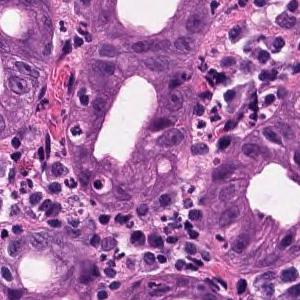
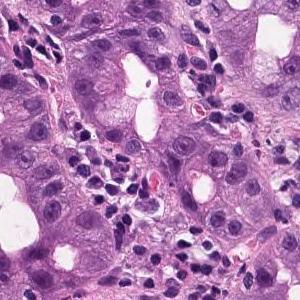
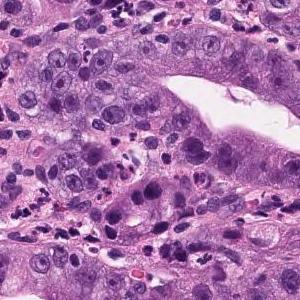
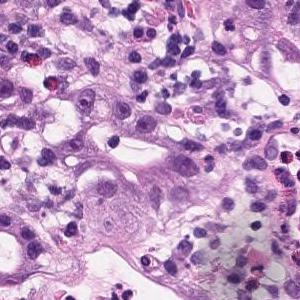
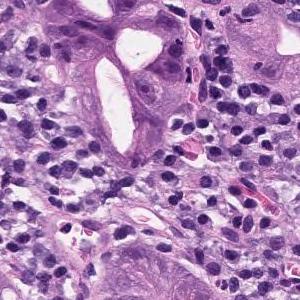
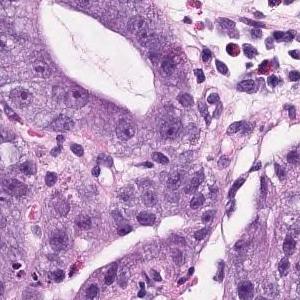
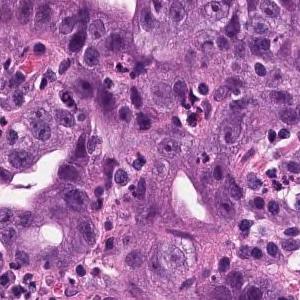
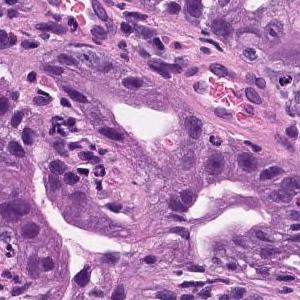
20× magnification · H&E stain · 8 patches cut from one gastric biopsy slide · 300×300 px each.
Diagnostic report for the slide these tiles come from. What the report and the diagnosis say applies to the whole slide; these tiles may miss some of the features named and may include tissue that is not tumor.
In the superficial epithelium, tumor tissue that invades by forming medium-sized to small, irregular ducts is observed. Well to moderately differentiated adenocarcinoma (well differentiated tubular adenocarcinoma, moderately differentiated tubular adenocarcinoma).
Tumor subtype: well to moderately differentiated tubular adenocarcinoma.
